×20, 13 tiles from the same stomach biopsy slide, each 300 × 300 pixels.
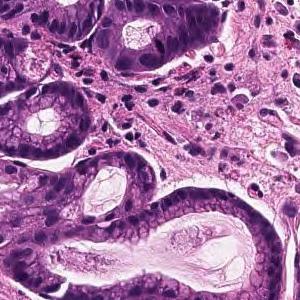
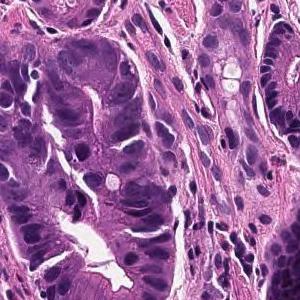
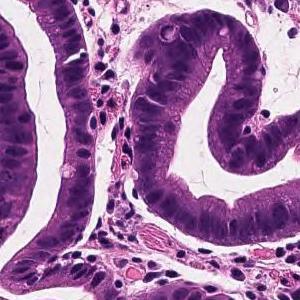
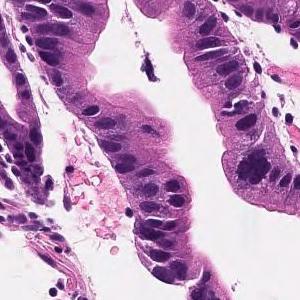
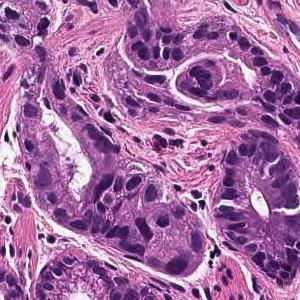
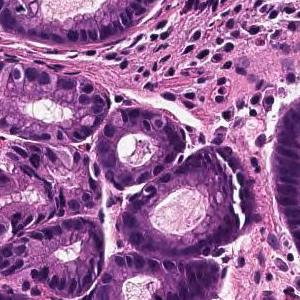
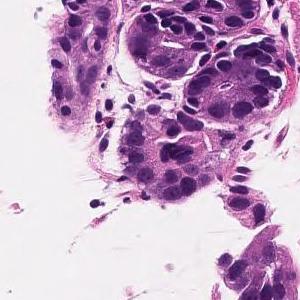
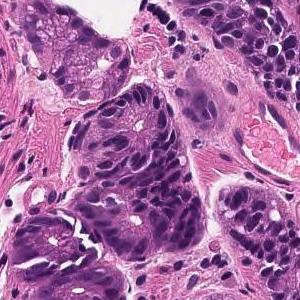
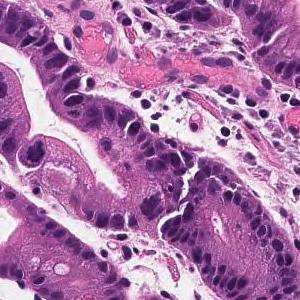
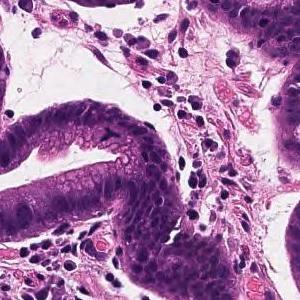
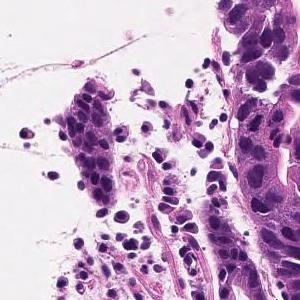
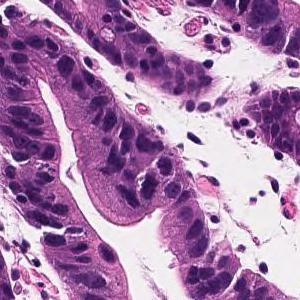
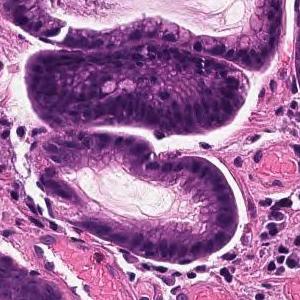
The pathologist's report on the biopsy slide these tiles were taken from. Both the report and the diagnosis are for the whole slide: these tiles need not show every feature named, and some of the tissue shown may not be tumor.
Tumor cells are large, highly columnar, large club-shaped nuclei, and are associated with chromatin aggregation. Papillary adenocarcinoma.
